Scanned at ×20; H&E; 15 patches cut from one gastric biopsy slide; 300×300 px each.
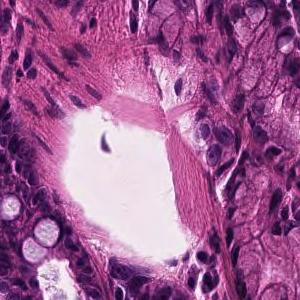
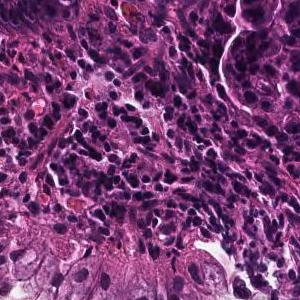
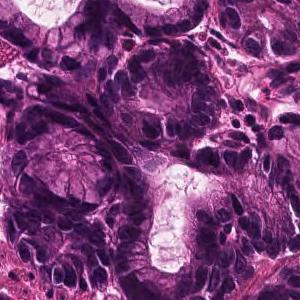
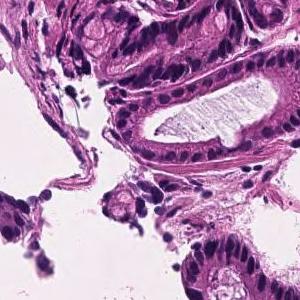
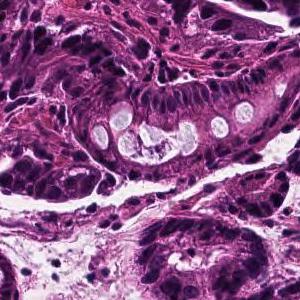
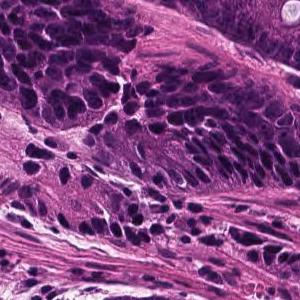
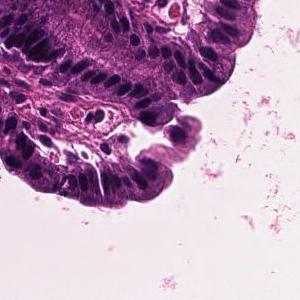
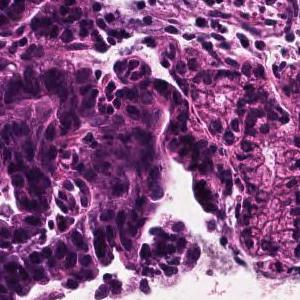
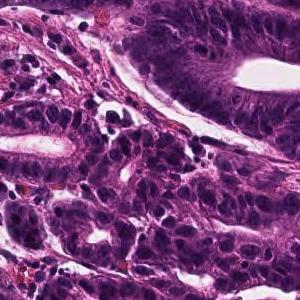
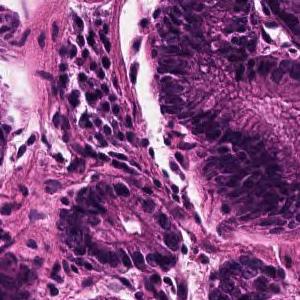
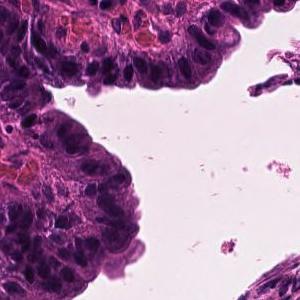
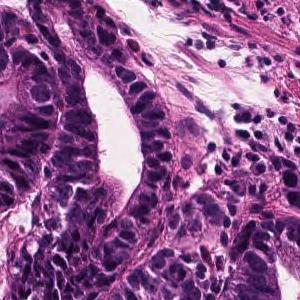
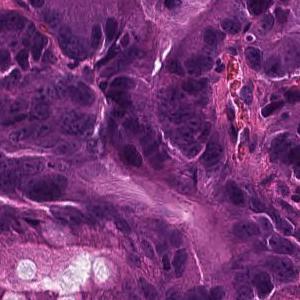
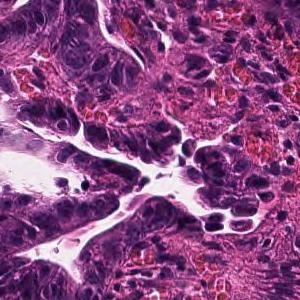
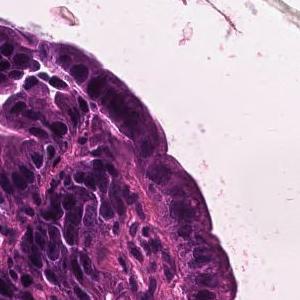
Report on the slide these tiles come from. The report describes the whole slide, diagnosis included: not every finding it names need appear in these tiles, which may also show non-tumor tissue.
In the superficial epithelium, tumor tissue that invades by forming medium-sized to small, irregular ducts is observed. Well differentiated tubular adenocarcinoma.
